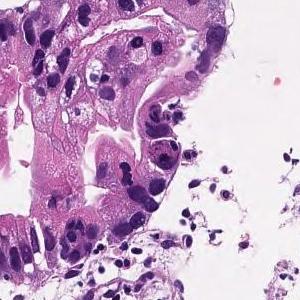
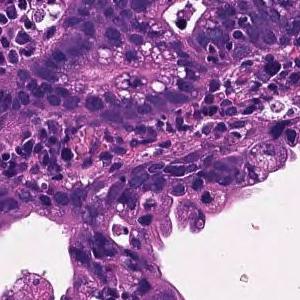
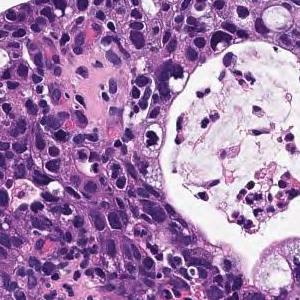
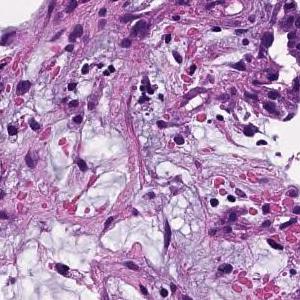
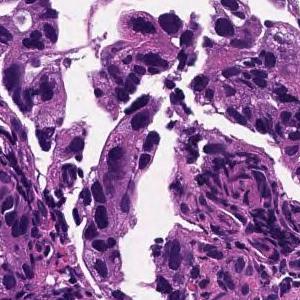
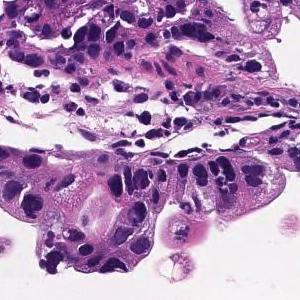
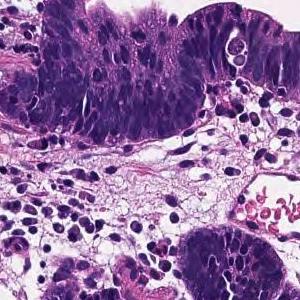
H&E; 7 tiles from the same stomach biopsy slide.
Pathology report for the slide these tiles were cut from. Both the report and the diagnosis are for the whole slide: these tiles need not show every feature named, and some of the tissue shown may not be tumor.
In the superficial epithelium, tumor tissue that invades by forming medium-sized to small, irregular ducts is observed. moderately differentiated tubular adenocarcinoma.
